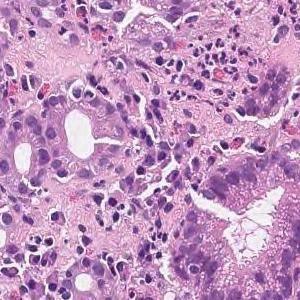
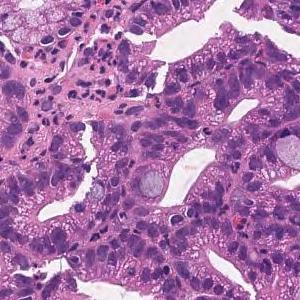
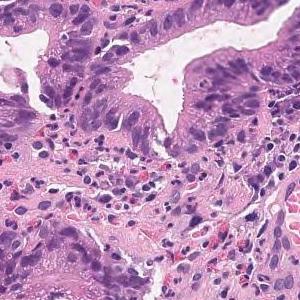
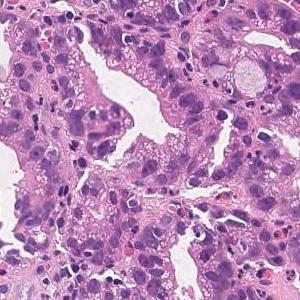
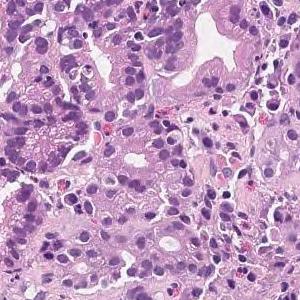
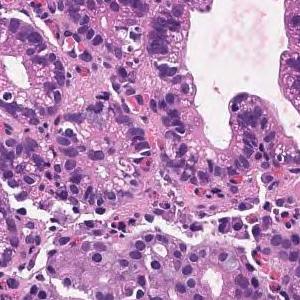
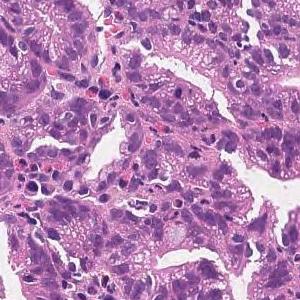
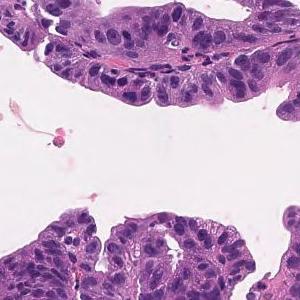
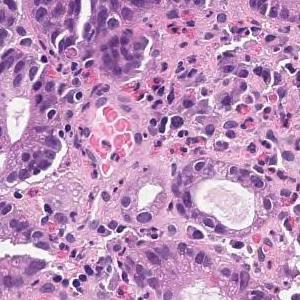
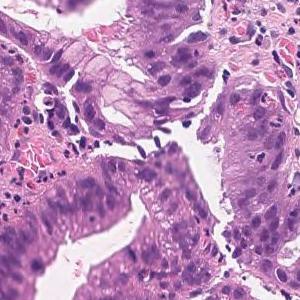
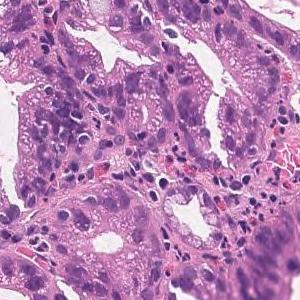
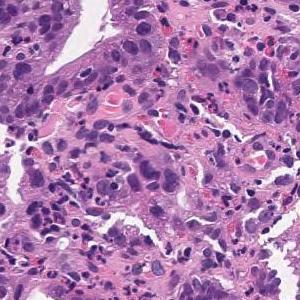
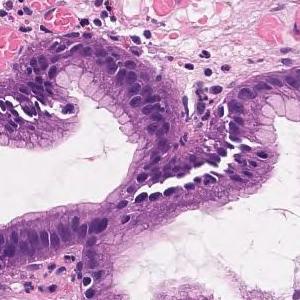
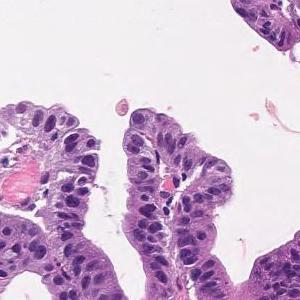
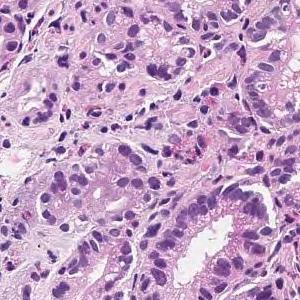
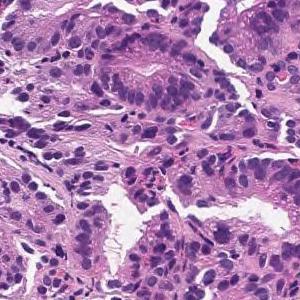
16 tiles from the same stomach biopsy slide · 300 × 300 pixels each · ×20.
Diagnostic report for the slide these tiles come from. The report and the diagnosis cover the entire slide, so not every feature they name need be visible here, and some tissue shown may not be tumor.
On the superficial epithelium, tumor tissue that infiltrates by forming medium-sized papillary or small irregular ducts is observed. Papillary adenocarcinoma
